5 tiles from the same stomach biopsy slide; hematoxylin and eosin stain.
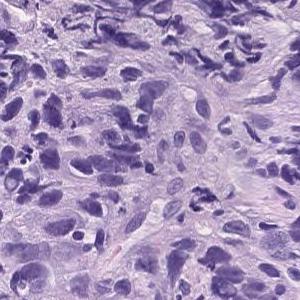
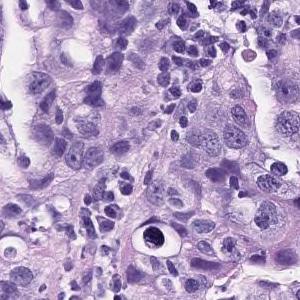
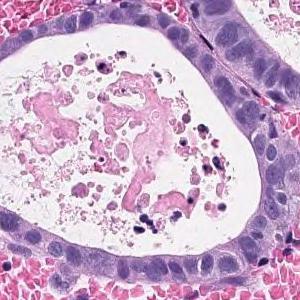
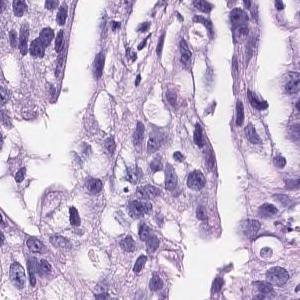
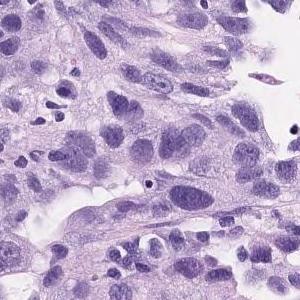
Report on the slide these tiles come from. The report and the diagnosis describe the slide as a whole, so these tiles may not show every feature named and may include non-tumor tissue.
The superficial epithelium shows a large sheet-like shape, and some tumor tissue infiltrates with small irregular ducts. Poorly differentiated adenocarcinoma, solid-type
Classified as poorly differentiated adenocarcinoma, solid type, a category of the Japanese Classification of Gastric Carcinoma; in the WHO 2019 classification it is tubular adenocarcinoma, poorly differentiated.
